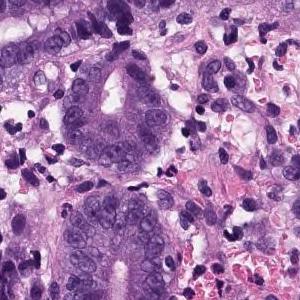
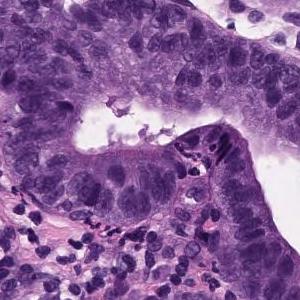
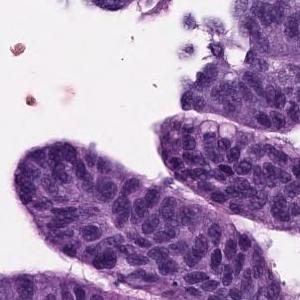
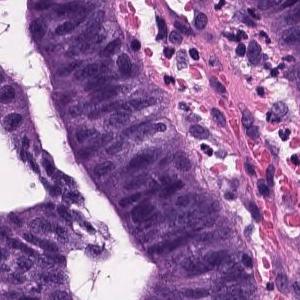
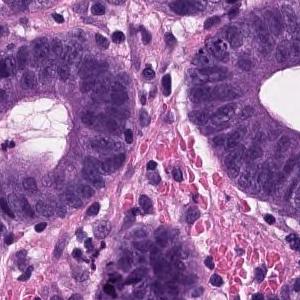
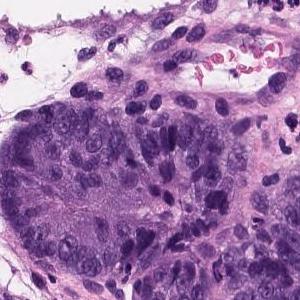
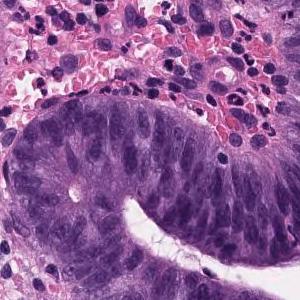
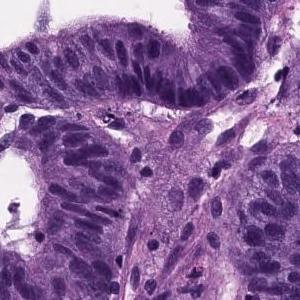
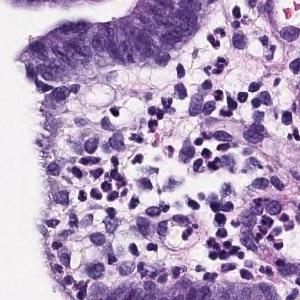
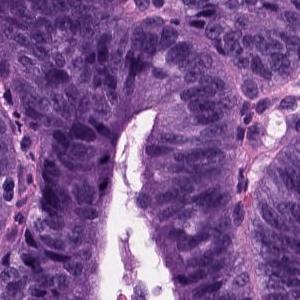
×20 · 10 tiles from the same stomach biopsy slide · 300 × 300 pixels each.
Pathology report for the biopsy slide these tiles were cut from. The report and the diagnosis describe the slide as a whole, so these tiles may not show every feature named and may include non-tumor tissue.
Papillo-tubular growth of atypical tubules with nuclear swelling is observed. Well differentiated tubular adenocarcinoma
